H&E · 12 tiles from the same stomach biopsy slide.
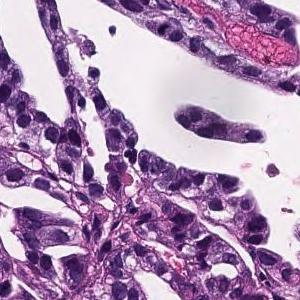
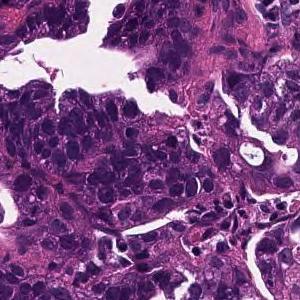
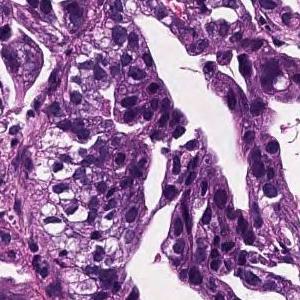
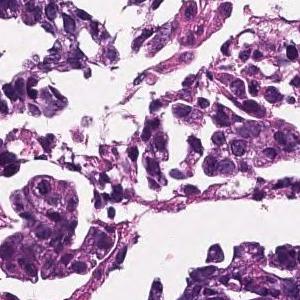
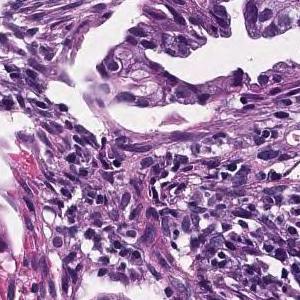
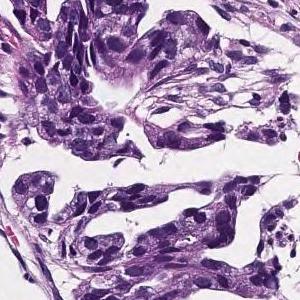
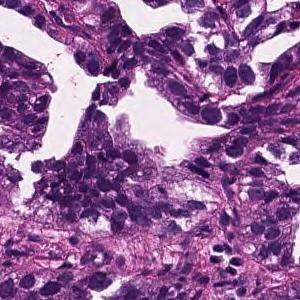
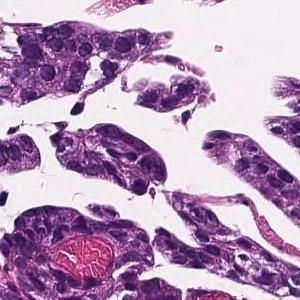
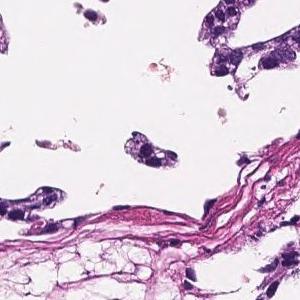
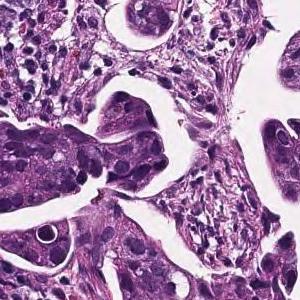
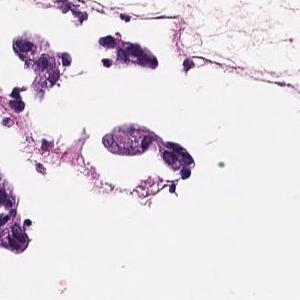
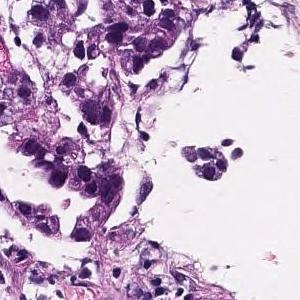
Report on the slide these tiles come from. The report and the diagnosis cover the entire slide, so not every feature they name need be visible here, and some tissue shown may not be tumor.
In the lamina propria, tumor tissue that invades by forming medium-sized to small, irregular glandular ducts is observed. moderately differentiated tubular adenocarcinoma
